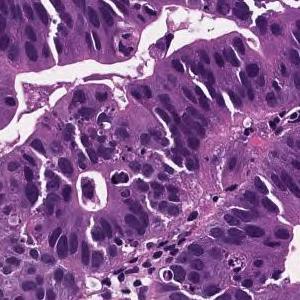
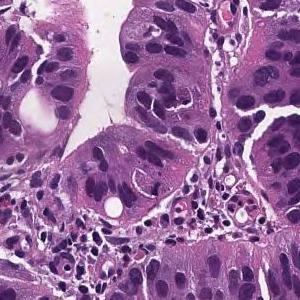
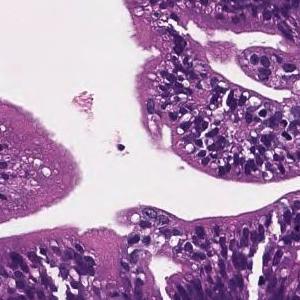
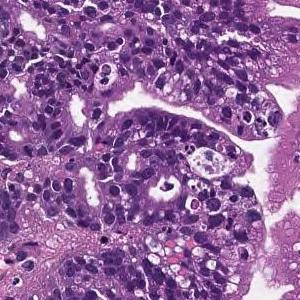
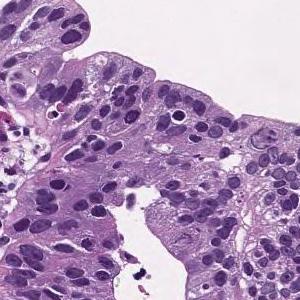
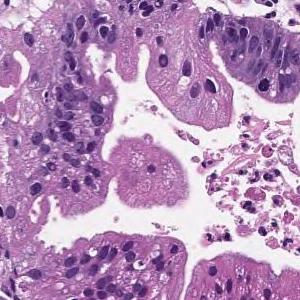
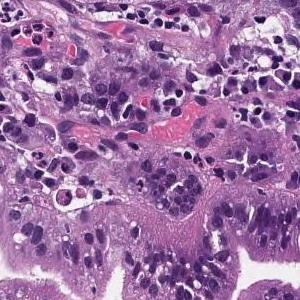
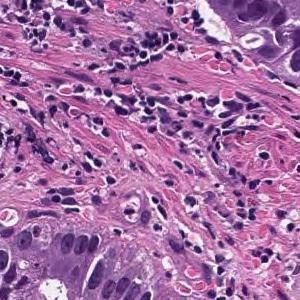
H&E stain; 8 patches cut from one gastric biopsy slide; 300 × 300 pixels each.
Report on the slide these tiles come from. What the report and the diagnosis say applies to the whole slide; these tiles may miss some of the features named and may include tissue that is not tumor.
Tumor cells are large, highly columnar, large club-shaped nuclei, and are associated with chromatin aggregation. Papillary adenocarcinoma.
